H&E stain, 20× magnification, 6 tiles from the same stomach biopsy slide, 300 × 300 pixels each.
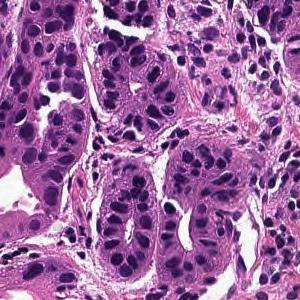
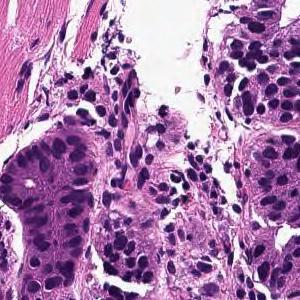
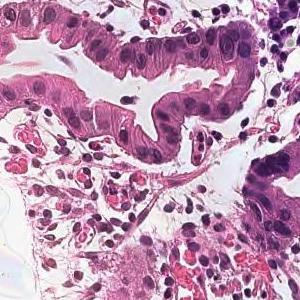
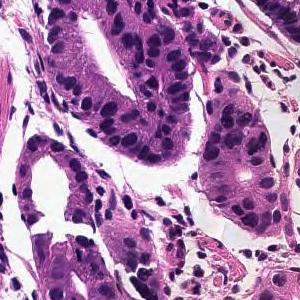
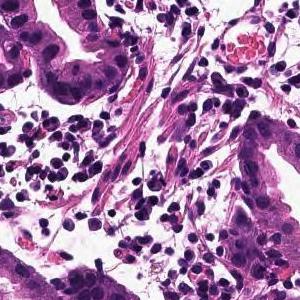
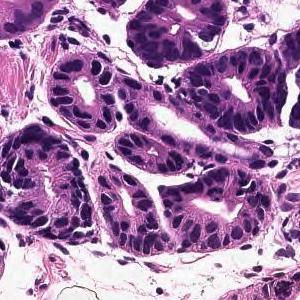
Pathology report for the biopsy slide these tiles were cut from. The report and the diagnosis describe the slide as a whole, so these tiles may not show every feature named and may include non-tumor tissue.
From the superficial epithelium to the muscularis mucosae, tumor tissue consisting of medium-sized and irregular glandular ducts infiltrating is observed. Well differentiated tubular adenocarcinoma
